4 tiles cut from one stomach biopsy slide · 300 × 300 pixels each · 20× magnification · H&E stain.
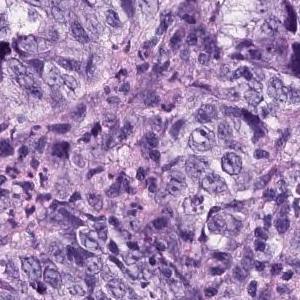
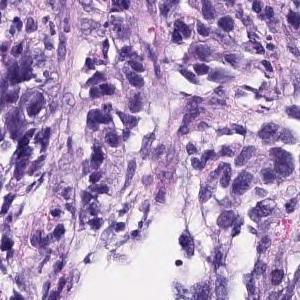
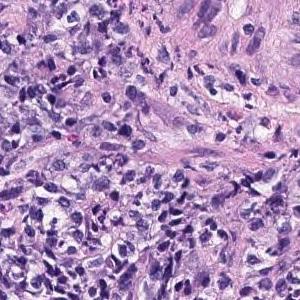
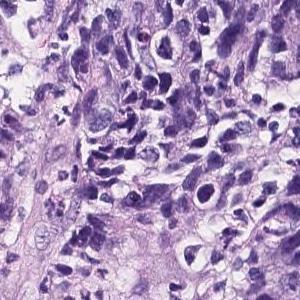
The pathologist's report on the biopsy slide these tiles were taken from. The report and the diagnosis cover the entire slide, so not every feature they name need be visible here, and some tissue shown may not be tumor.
The superficial epithelium shows a large sheet-like shape, and some tumor tissue infiltrates with small irregular ducts. Poorly differentiated adenocarcinoma, solid-type
Subtype: Poorly differentiated adenocarcinoma, solid type. This name comes from the Japanese Classification of Gastric Carcinoma; the WHO 2019 classification calls it tubular adenocarcinoma, poorly differentiated.
